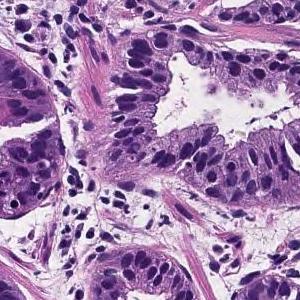
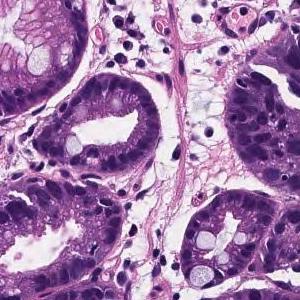
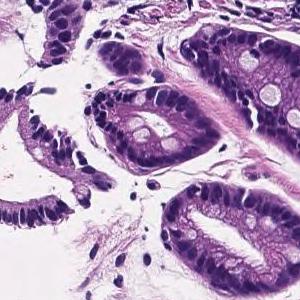
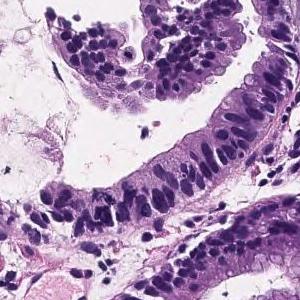
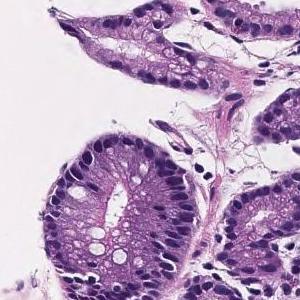
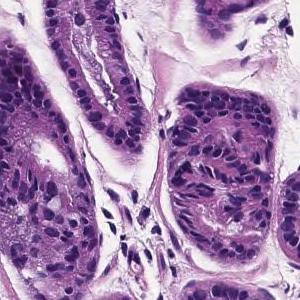
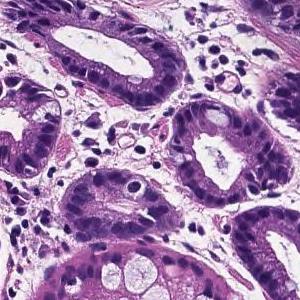
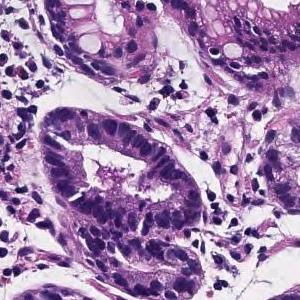
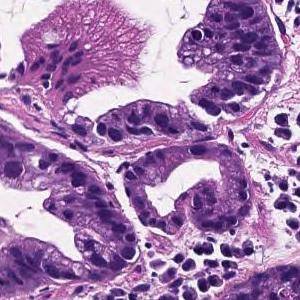
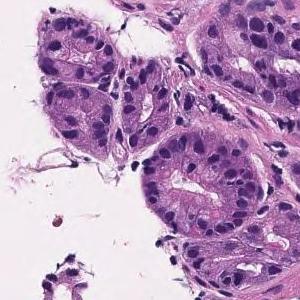
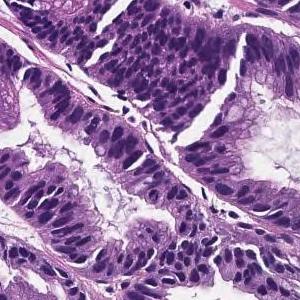
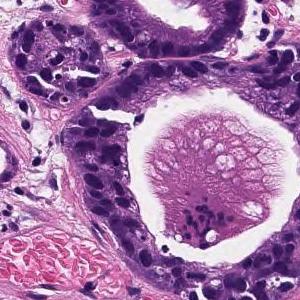
12 tiles from the same stomach biopsy slide, 20× magnification.
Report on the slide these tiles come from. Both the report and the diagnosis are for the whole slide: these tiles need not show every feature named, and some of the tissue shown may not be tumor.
Tumor cells are large, highly columnar, large club-shaped nuclei, and are associated with chromatin aggregation. Papillary adenocarcinoma.
